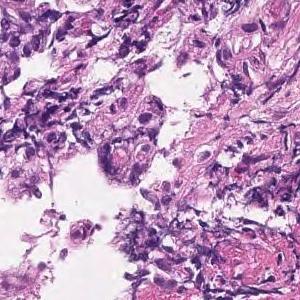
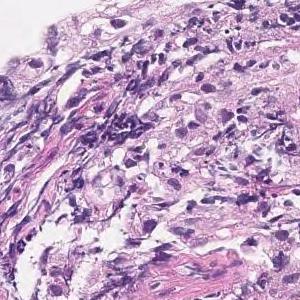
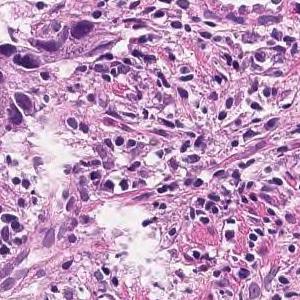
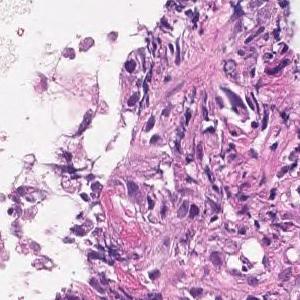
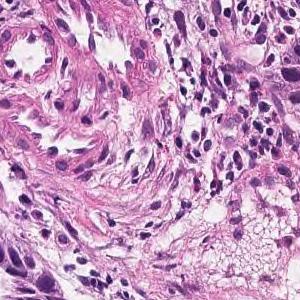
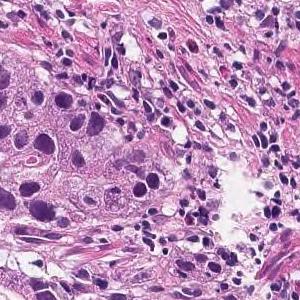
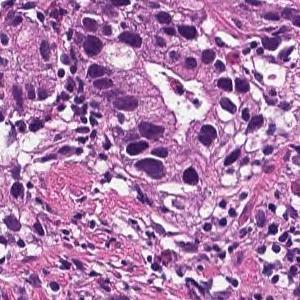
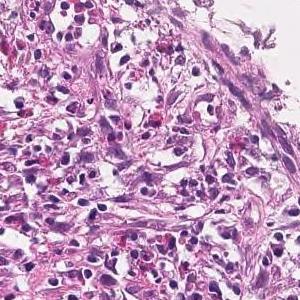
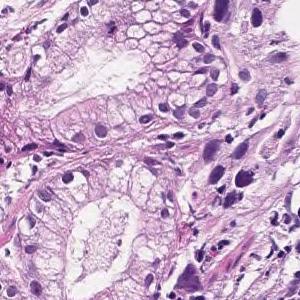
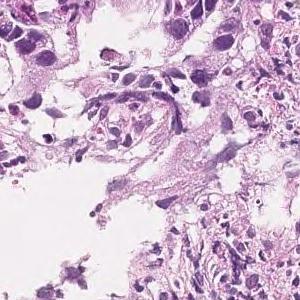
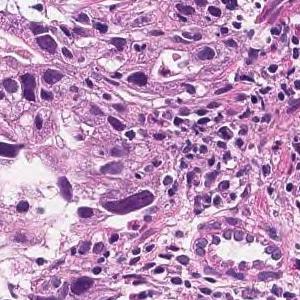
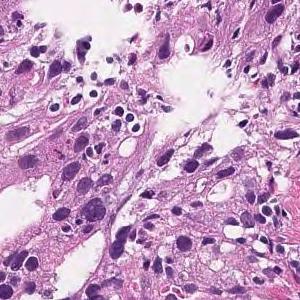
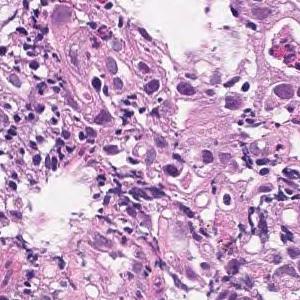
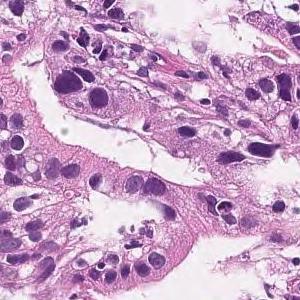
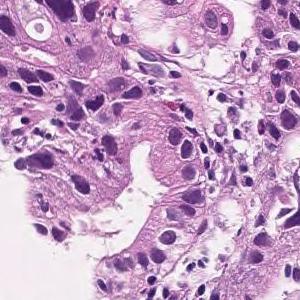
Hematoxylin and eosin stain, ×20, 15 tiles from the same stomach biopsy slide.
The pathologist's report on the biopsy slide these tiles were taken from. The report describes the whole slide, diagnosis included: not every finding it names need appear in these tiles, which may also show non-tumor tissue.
In the superficial epithelium, tumor tissue that invades by forming medium-sized to small, irregular ducts is observed. moderately differentiated tubular adenocarcinoma.
